12 tiles from the same stomach biopsy slide; each 300 × 300 pixels; hematoxylin and eosin stain.
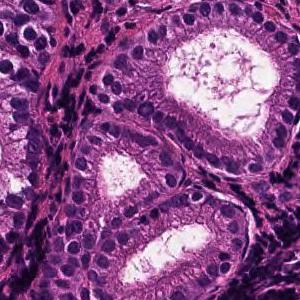
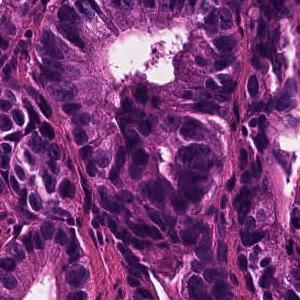
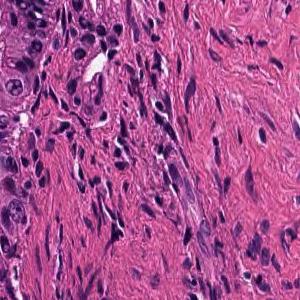
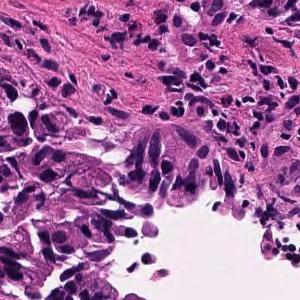
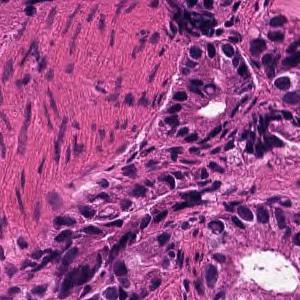
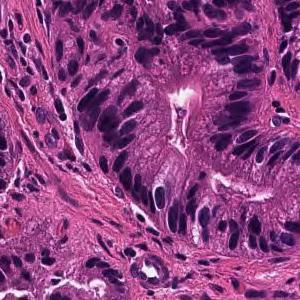
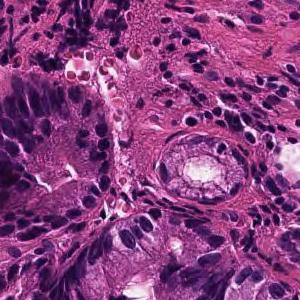
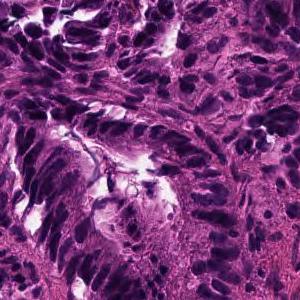
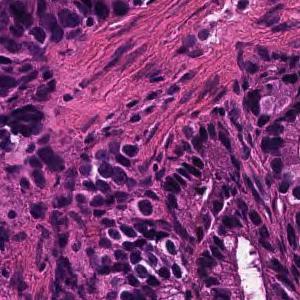
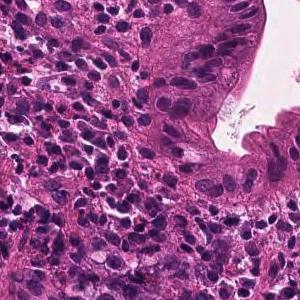
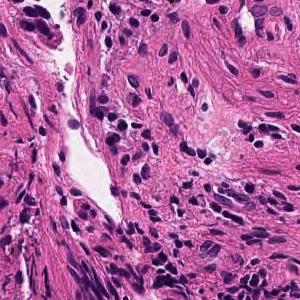
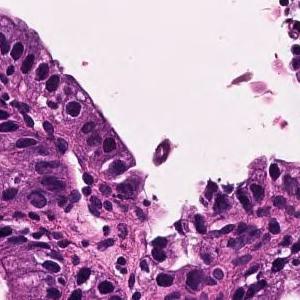
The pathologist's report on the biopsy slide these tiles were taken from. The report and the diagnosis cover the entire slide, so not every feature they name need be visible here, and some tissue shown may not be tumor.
In the superficial epithelium, tumor tissue that invades by forming medium-sized to small, irregular ducts is observed. Well differentiated tubular adenocarcinoma.
